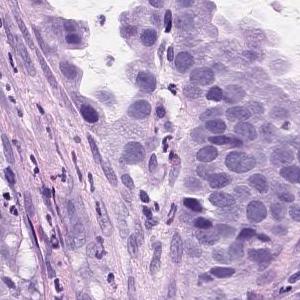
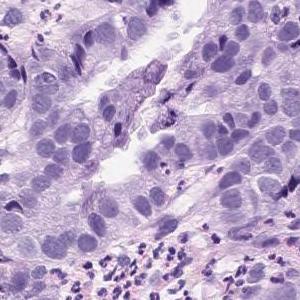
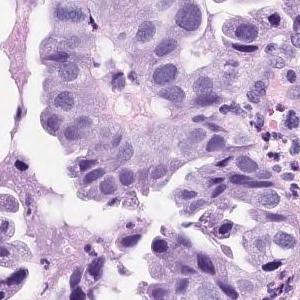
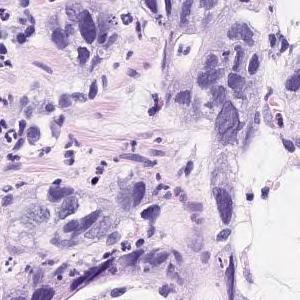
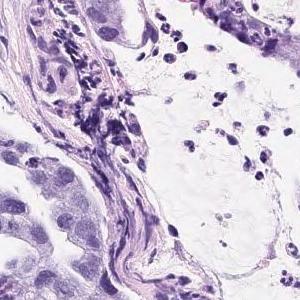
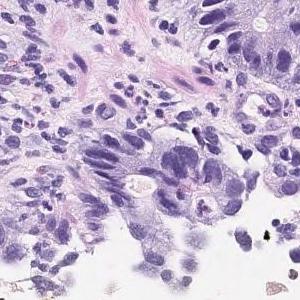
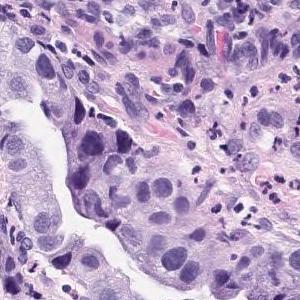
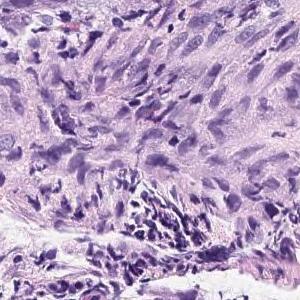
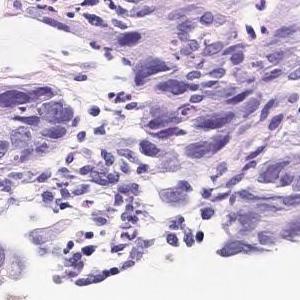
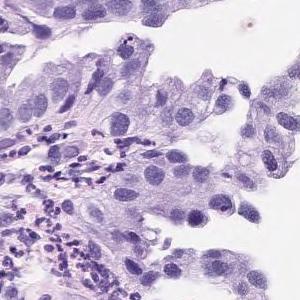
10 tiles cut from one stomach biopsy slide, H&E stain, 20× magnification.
The pathologist's report on the biopsy slide these tiles were taken from. What the report and the diagnosis say applies to the whole slide; these tiles may miss some of the features named and may include tissue that is not tumor.
Atypical l cells with atypical nuclei forming solid or diffuse vesicles or small irregular atypical ducts and growing in a complex manner. Well differentiated tubular adenocarcinoma
